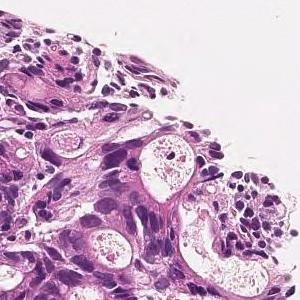
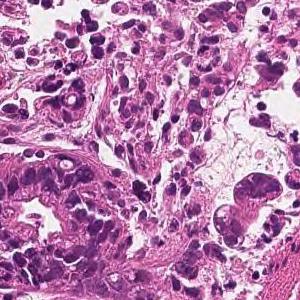
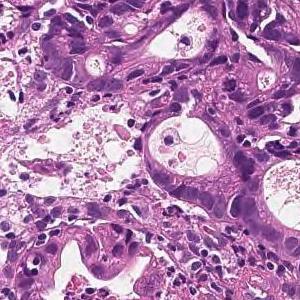
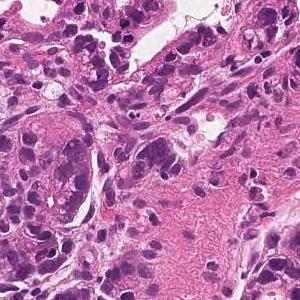
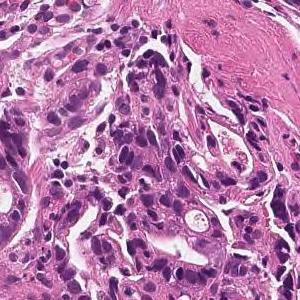
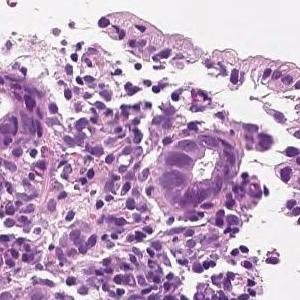
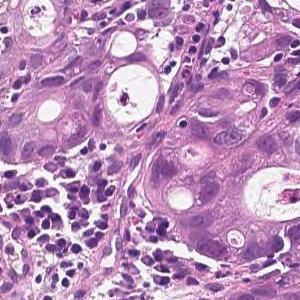
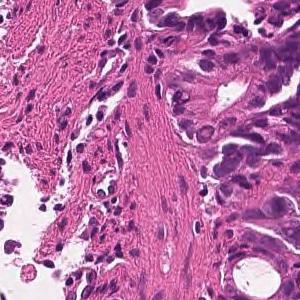
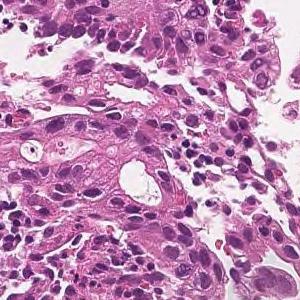
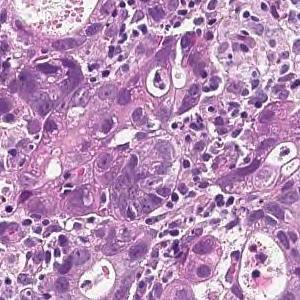
10 tiles cut from one stomach biopsy slide · each 300 × 300 pixels · hematoxylin and eosin stain · 20× magnification.
The pathologist's report on the biopsy slide these tiles were taken from. Both the report and the diagnosis are for the whole slide: these tiles need not show every feature named, and some of the tissue shown may not be tumor.
On the superficial epithelium, tumor tissue is found in which medium-sized irregular gland ducts fuse with each other and infiltrate. moderately differentiated tubular adenocarcinoma
